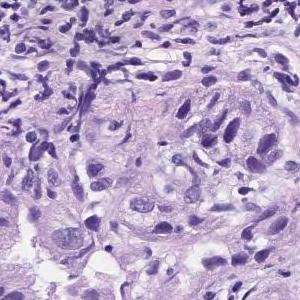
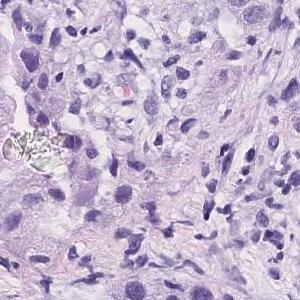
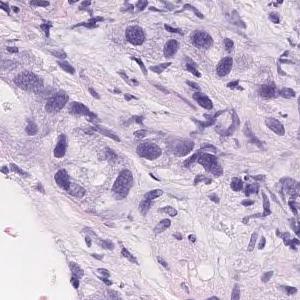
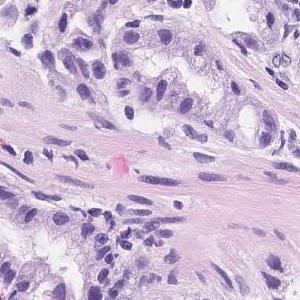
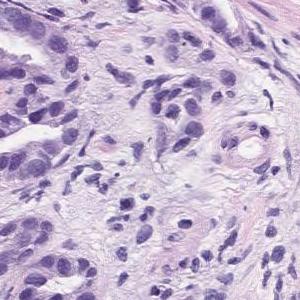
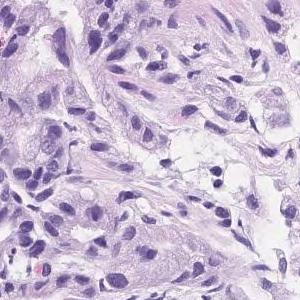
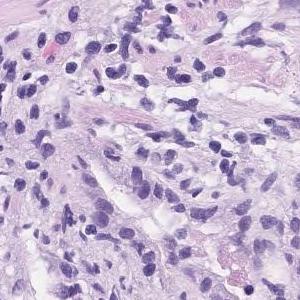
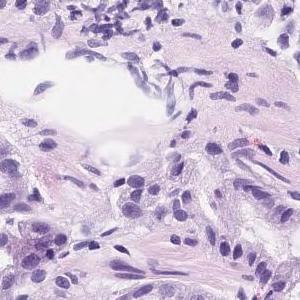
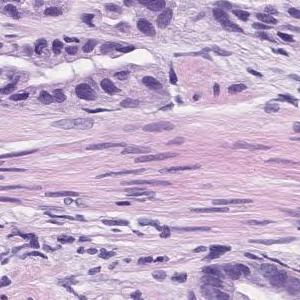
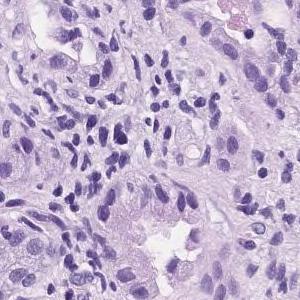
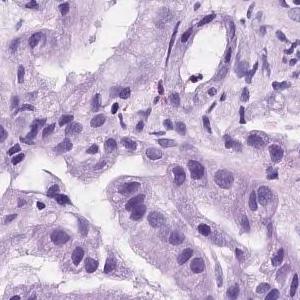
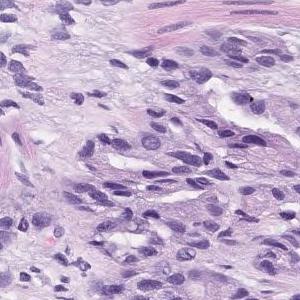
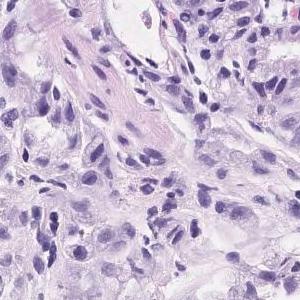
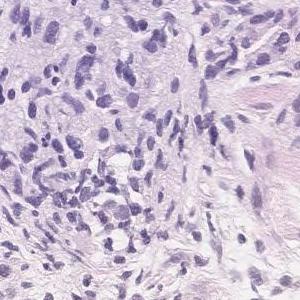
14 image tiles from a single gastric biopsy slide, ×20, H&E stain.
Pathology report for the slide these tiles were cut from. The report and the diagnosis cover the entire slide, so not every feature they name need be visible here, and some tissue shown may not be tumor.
Atypical epithelial cells with some large atypical nuclei growing in the form of agglomerates or cords from tubular glands is observed. moderately differentiated tubular adenocarcinoma
